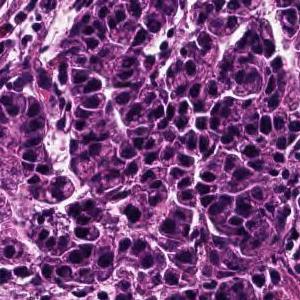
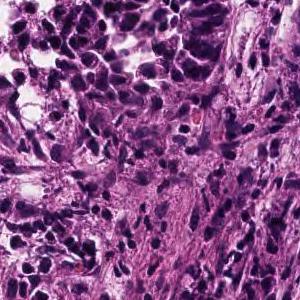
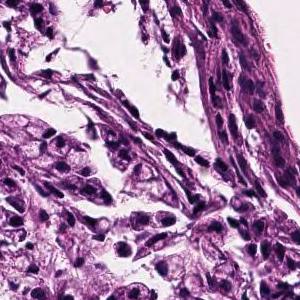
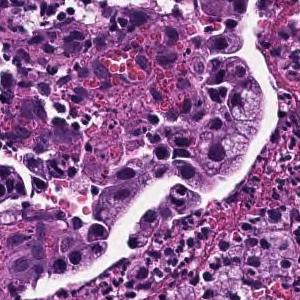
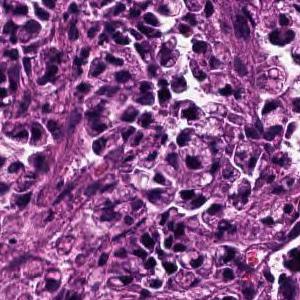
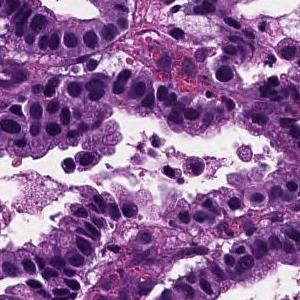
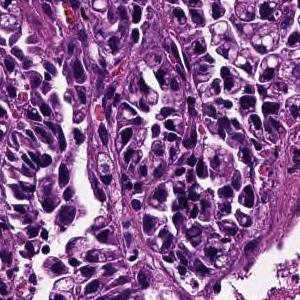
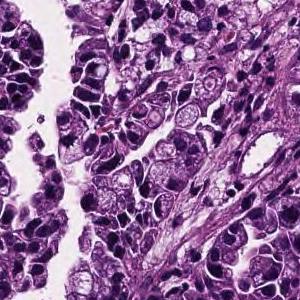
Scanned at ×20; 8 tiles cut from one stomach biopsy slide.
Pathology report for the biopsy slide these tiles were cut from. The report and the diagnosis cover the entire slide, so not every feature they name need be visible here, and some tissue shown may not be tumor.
Tumor cells are large, highly columnar, large club-shaped nuclei, and are associated with chromatin aggregation. Papillary adenocarcinoma.
